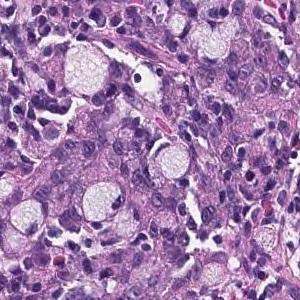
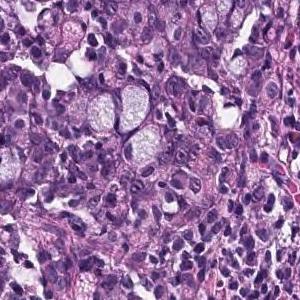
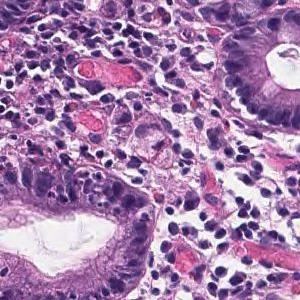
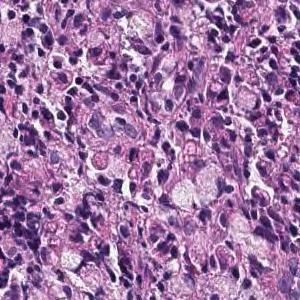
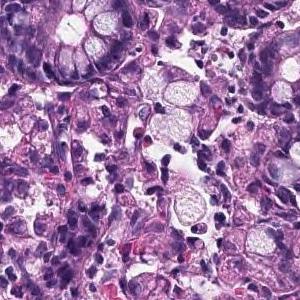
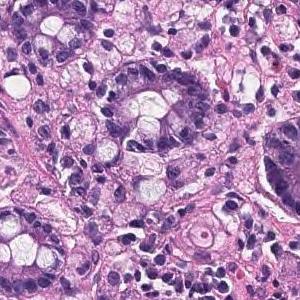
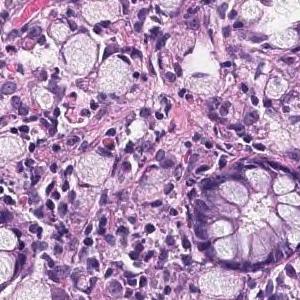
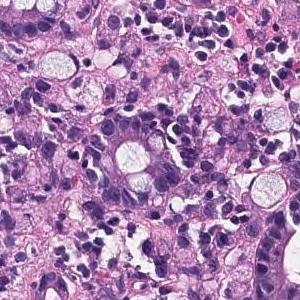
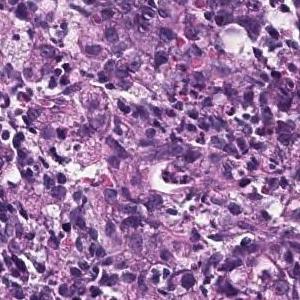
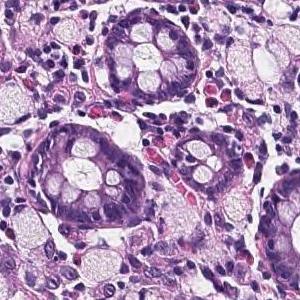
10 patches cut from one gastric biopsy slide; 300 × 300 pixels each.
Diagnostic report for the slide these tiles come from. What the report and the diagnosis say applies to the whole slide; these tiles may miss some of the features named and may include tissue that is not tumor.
A tumor tissue consisting of signet ring cell carcinoma cells is observed in the lamina propria. Signet ring cell carcinoma.
